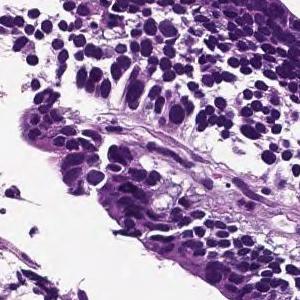
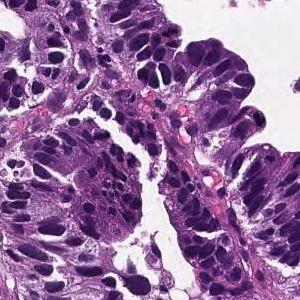
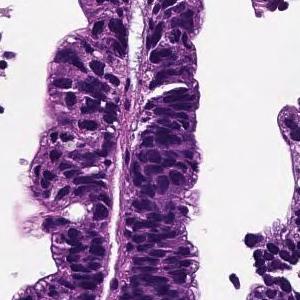
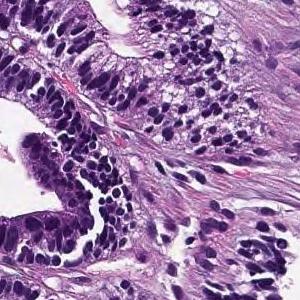
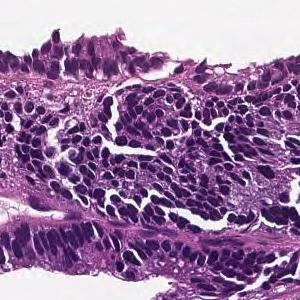
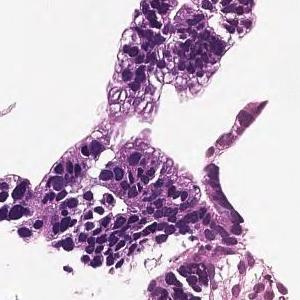
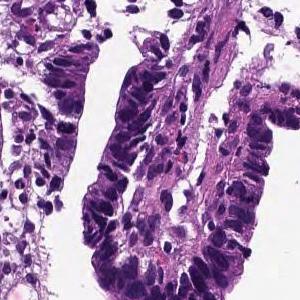
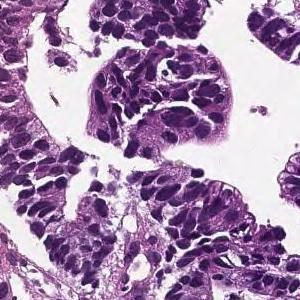
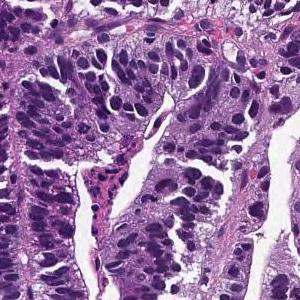
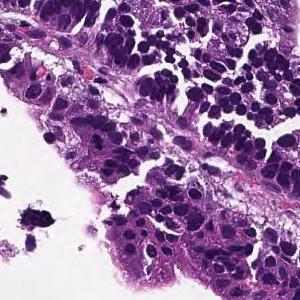
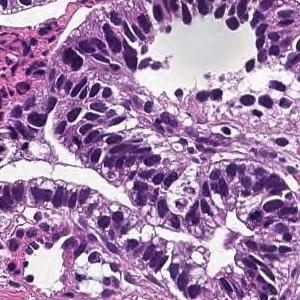
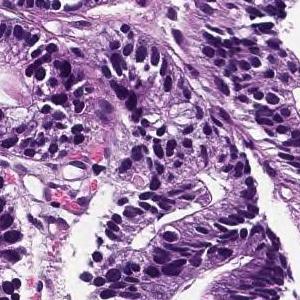
H&E stain; 12 patches cut from one gastric biopsy slide; 300×300 px each.
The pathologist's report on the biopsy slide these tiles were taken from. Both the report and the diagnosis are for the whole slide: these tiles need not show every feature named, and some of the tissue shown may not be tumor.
Tumor cells are large, highly columnar, large club-shaped nuclei, and are associated with chromatin aggregation. Papillary adenocarcinoma.
